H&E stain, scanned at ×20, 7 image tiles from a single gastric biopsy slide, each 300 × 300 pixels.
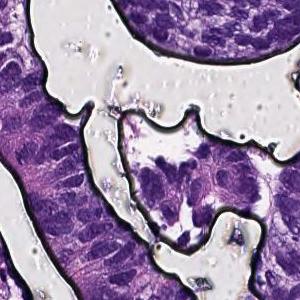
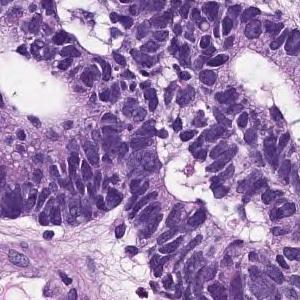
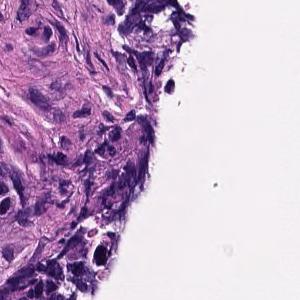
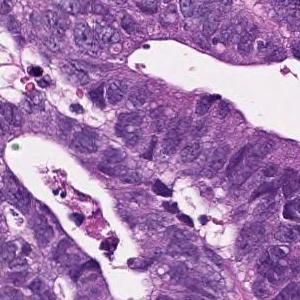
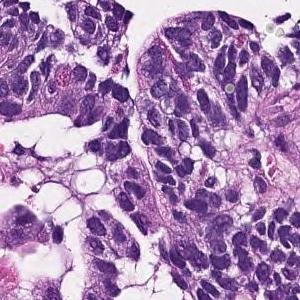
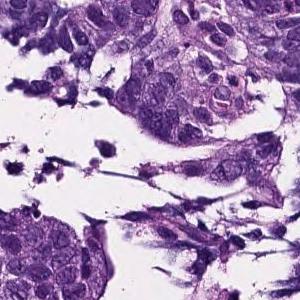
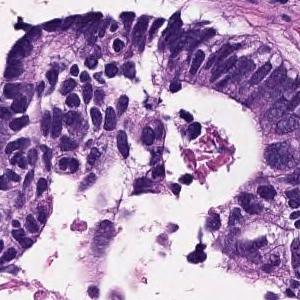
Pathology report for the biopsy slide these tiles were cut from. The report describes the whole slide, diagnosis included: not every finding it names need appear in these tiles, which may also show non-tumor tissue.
In the superficial epithelium, tumor tissue that invades by forming medium-sized to small, irregular ducts is observed. moderately differentiated tubular adenocarcinoma.
